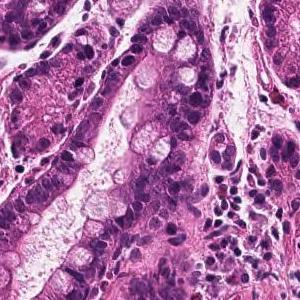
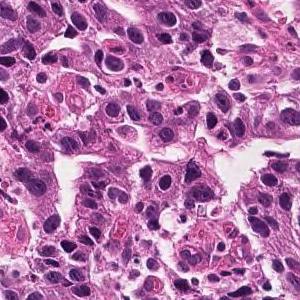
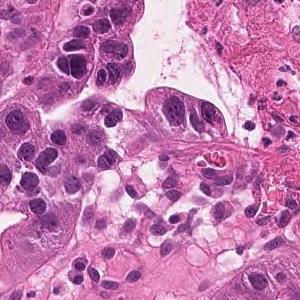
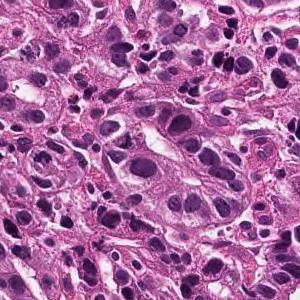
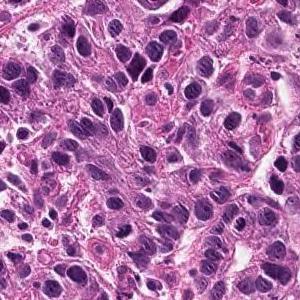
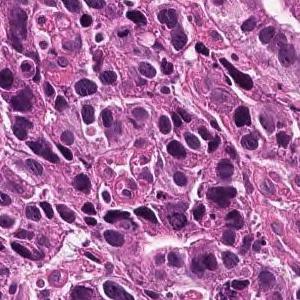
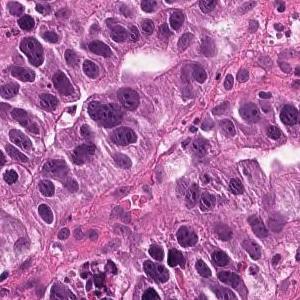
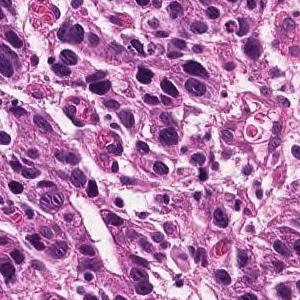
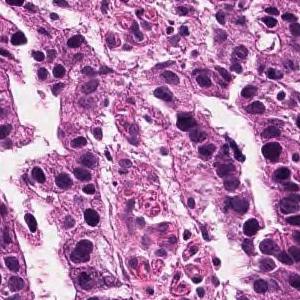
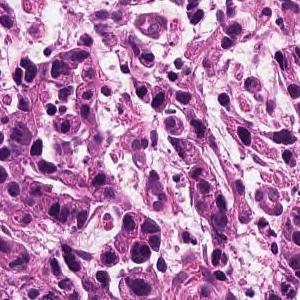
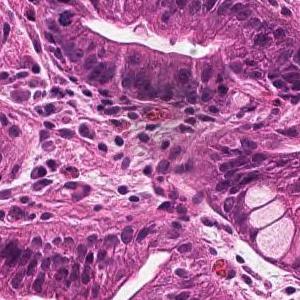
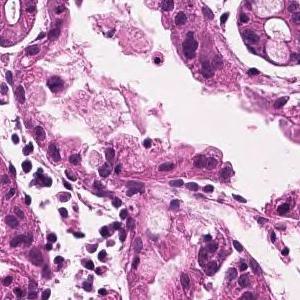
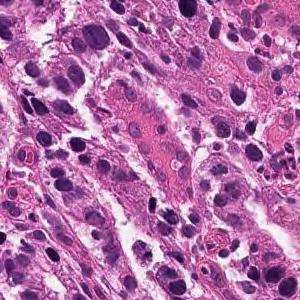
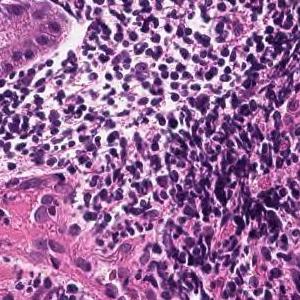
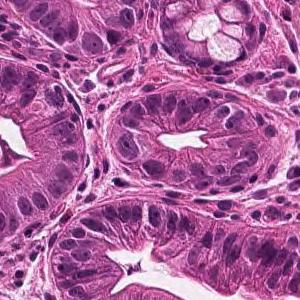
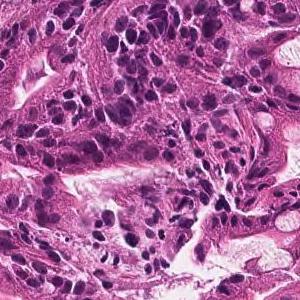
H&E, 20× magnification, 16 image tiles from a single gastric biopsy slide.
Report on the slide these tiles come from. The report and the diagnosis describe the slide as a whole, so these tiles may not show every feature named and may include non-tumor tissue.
Tumor tissue consisting of medium-sized, cord-like or irregular glandular infiltration is observed in the superficial epithelium. Poorly differentiated adenocarcinoma, non-solid type or moderately differentiated tubular adenocarcinoma
Histological subtype: Moderately to poorly differentiated adenocarcinoma.
The non-solid type named here is a Japanese Classification of Gastric Carcinoma category.
